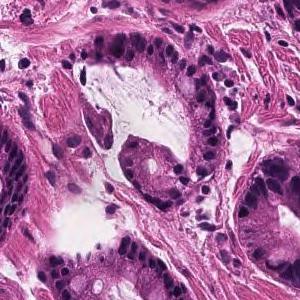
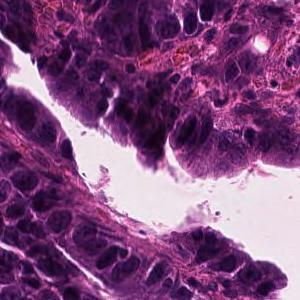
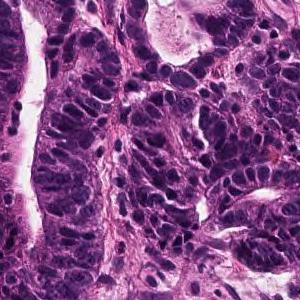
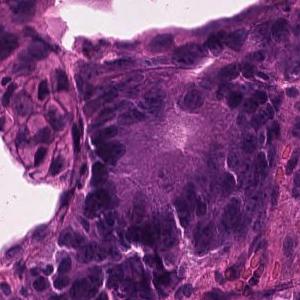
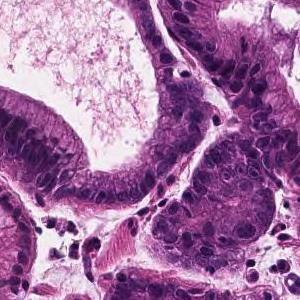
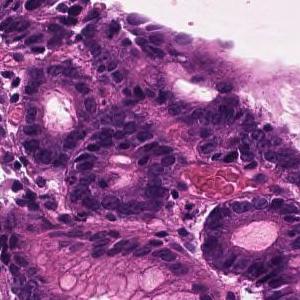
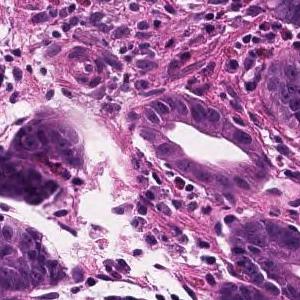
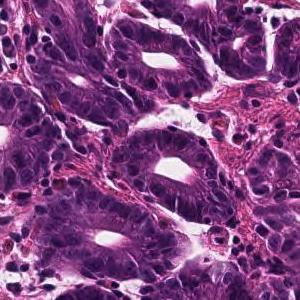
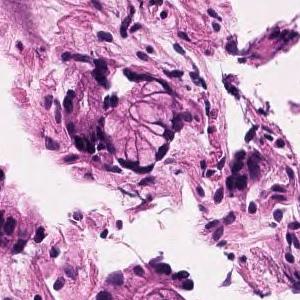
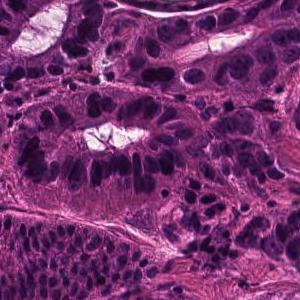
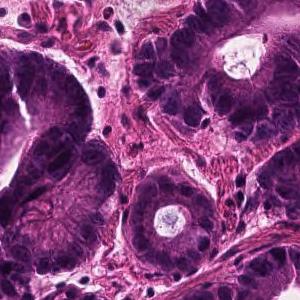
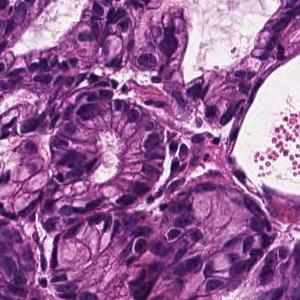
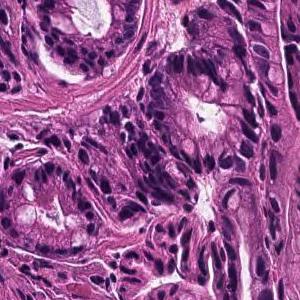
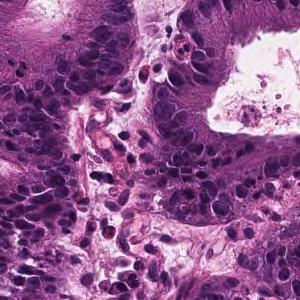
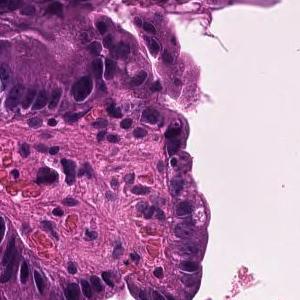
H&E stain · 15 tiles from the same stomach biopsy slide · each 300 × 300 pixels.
Pathology report for the biopsy slide these tiles were cut from. The report describes the whole slide, diagnosis included: not every finding it names need appear in these tiles, which may also show non-tumor tissue.
In the superficial epithelium, tumor tissue that invades by forming medium-sized to small, irregular ducts is observed. Well differentiated tubular adenocarcinoma.
